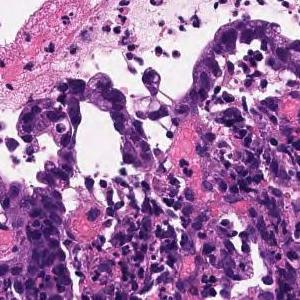
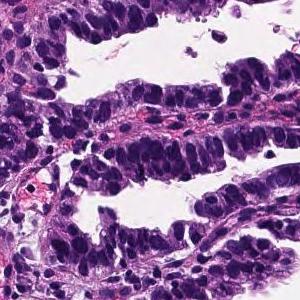
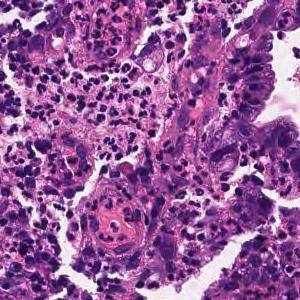
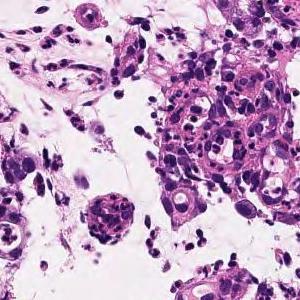
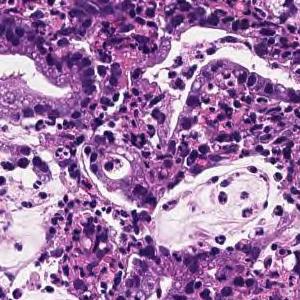
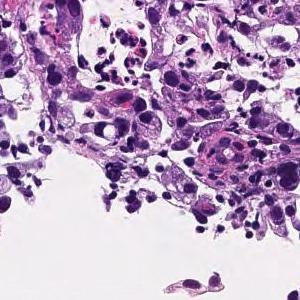
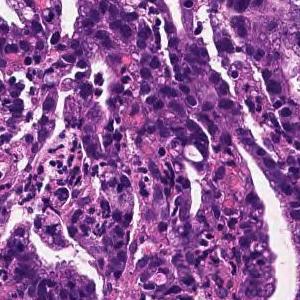
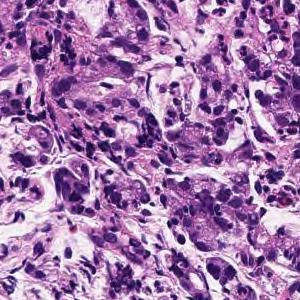
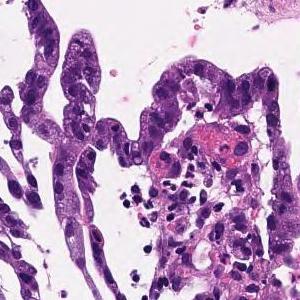
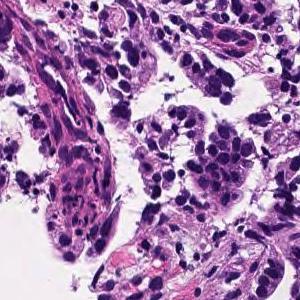
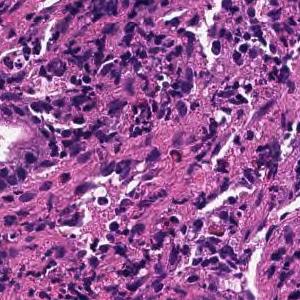
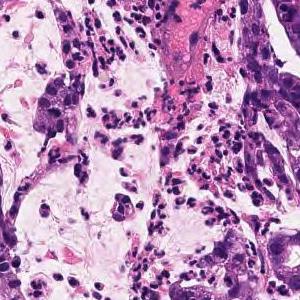
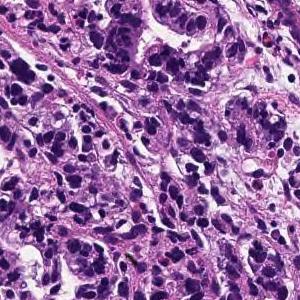
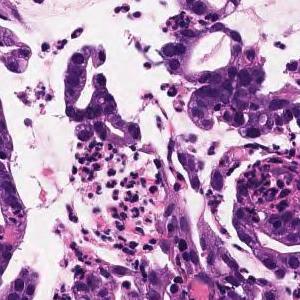
20× magnification, H&E stain, 14 patches cut from one gastric biopsy slide.
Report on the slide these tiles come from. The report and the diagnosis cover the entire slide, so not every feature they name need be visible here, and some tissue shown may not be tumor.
On the superficial epithelium, tumor tissue consisting of large, irregular glandular ducts partially fused and infiltrated is observed. Well to moderately differentiated tubular adenocarcinoma (well differentiated tubular adenocarcinoma, moderately differentiated tubular adenocarcinoma)
Classified as well to moderately differentiated tubular adenocarcinoma.
